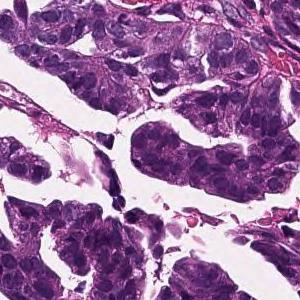
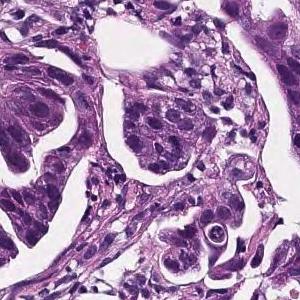
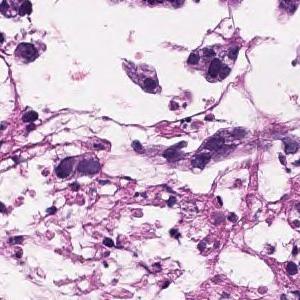
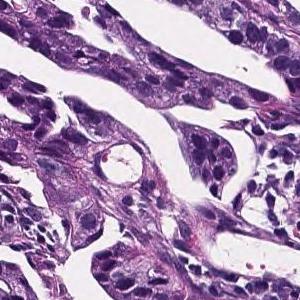
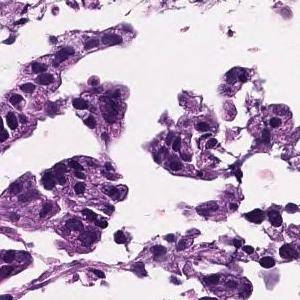
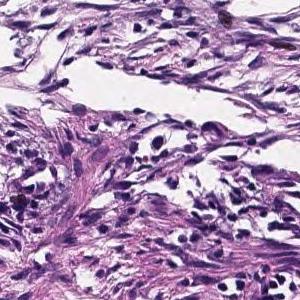
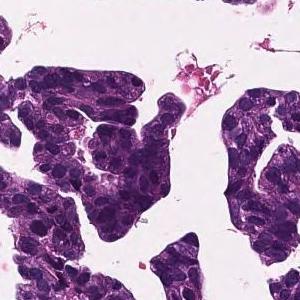
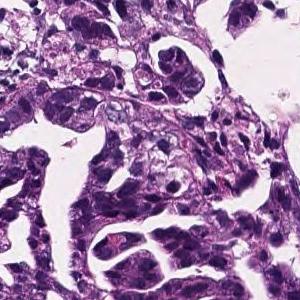
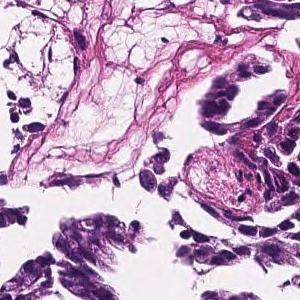
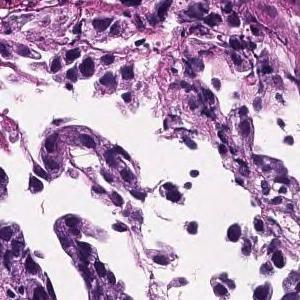
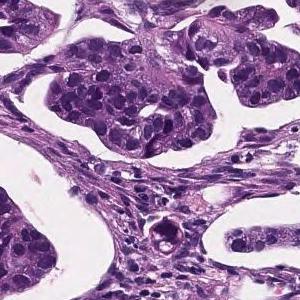
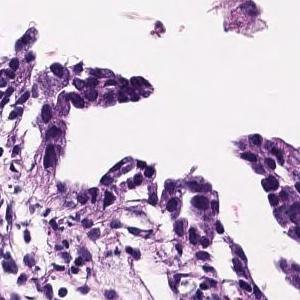
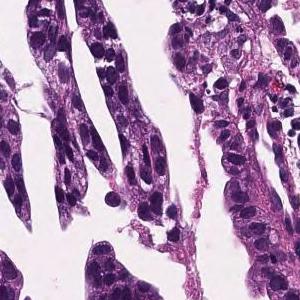
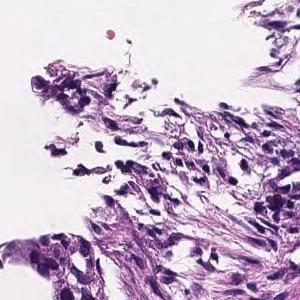
20× magnification, H&E stain, 14 tiles from the same stomach biopsy slide.
Pathology report for the biopsy slide these tiles were cut from. Both the report and the diagnosis are for the whole slide: these tiles need not show every feature named, and some of the tissue shown may not be tumor.
In the lamina propria, tumor tissue that invades by forming medium-sized to small, irregular glandular ducts is observed. moderately differentiated tubular adenocarcinoma
